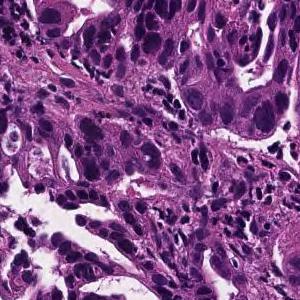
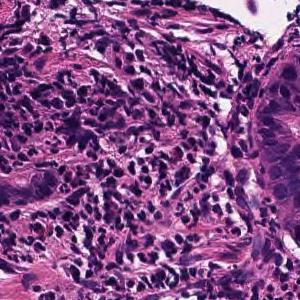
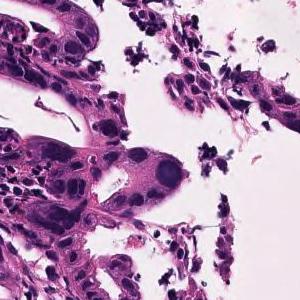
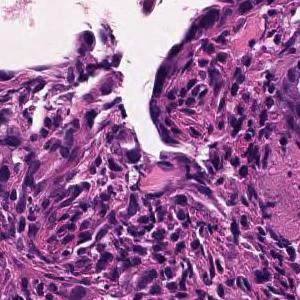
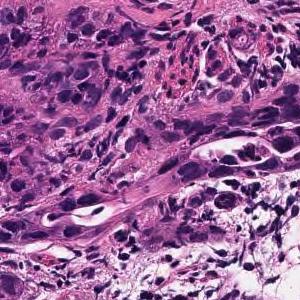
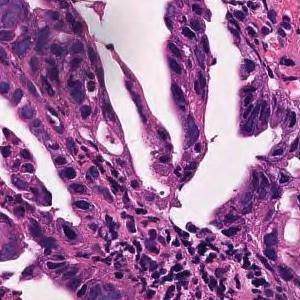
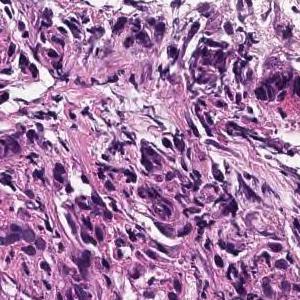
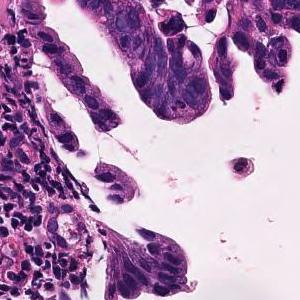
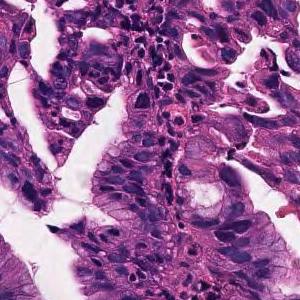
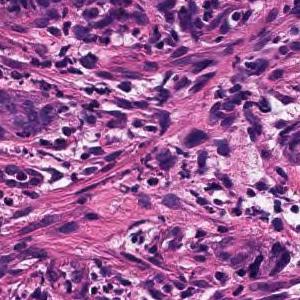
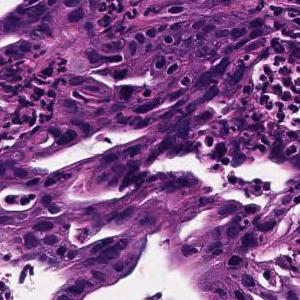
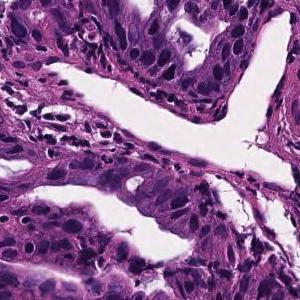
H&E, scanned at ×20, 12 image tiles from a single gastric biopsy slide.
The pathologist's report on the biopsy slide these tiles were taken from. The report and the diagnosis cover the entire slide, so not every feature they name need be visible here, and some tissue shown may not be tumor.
In the superficial epithelium, medium-sized to small irregular glandular ducts are formed, and in some cases, the glandular ducts are fused or small cord-like infiltrating tumor tissue is observed. moderately differentiated tubular adenocarcinoma
